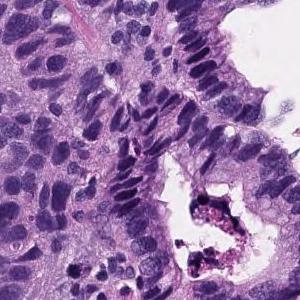
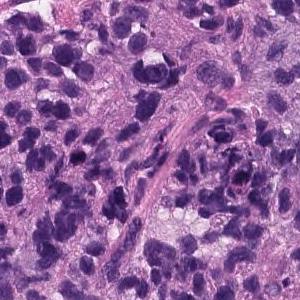
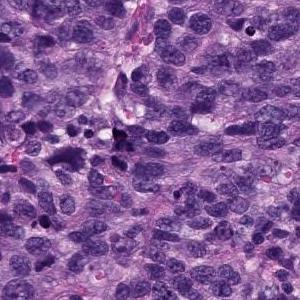
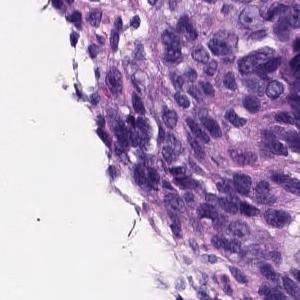
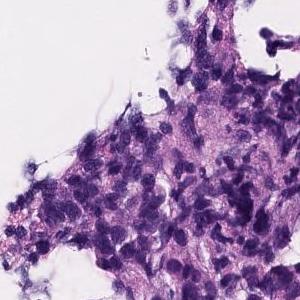
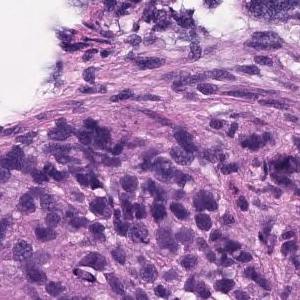
6 patches cut from one gastric biopsy slide; scanned at ×20; hematoxylin and eosin stain.
Report on the slide these tiles come from. The findings and the diagnosis refer to the entire slide; these tiles show only part of it, possibly with non-tumor tissue, and may not show every feature named.
Atypical l cells with atypical nuclei under the mucosa growing in isolation and scattered. Poorly differentiated adenocarcinoma (poorly differentiated adenocarcinoma, non-solid type)
Subtype: Poorly differentiated adenocarcinoma, non-solid type.
The non-solid type named here is a Japanese Classification of Gastric Carcinoma category.
